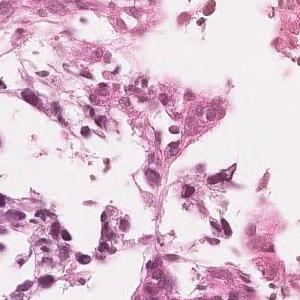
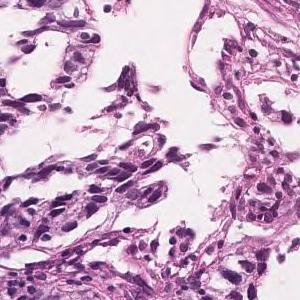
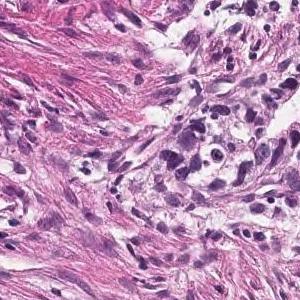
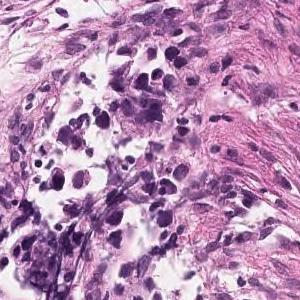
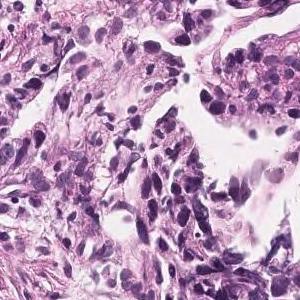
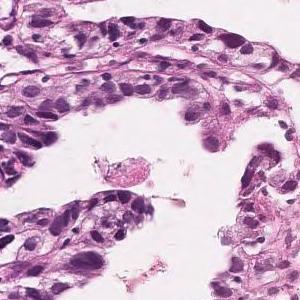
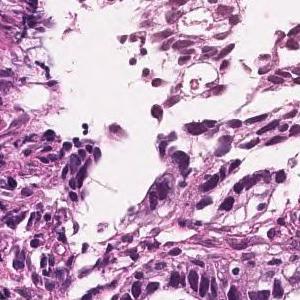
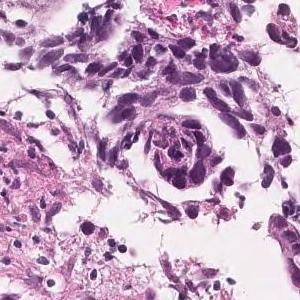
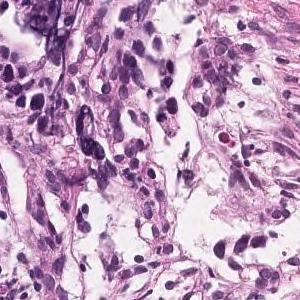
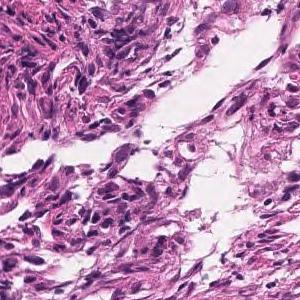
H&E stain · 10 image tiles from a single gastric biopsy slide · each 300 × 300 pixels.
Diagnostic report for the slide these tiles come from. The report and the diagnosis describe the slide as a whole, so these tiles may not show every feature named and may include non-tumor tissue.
Tumor tissue that is localized within the mucosa and grows in microcavities or small glandular cavities or individually isolated is observed. Poorly differentiated adenocarcinoma, non-solid type
"Non-solid type" is a category of the Japanese Classification of Gastric Carcinoma.
